15 tiles cut from one stomach biopsy slide.
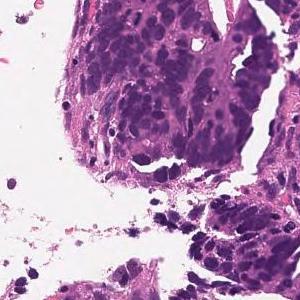
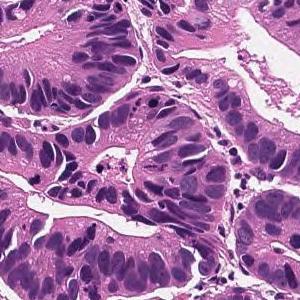
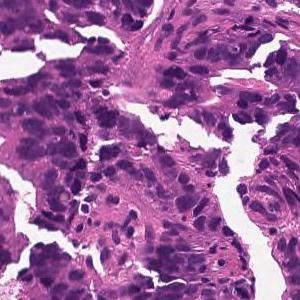
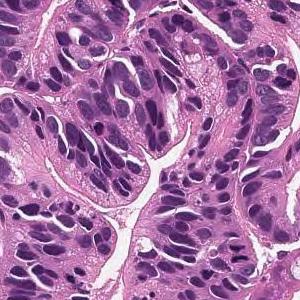
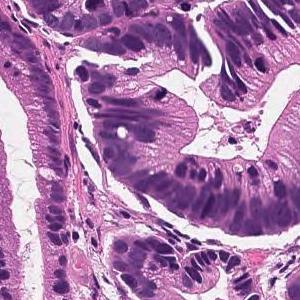
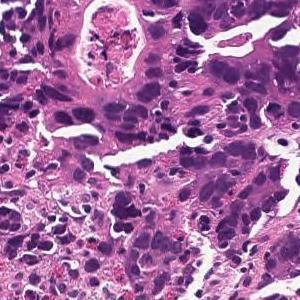
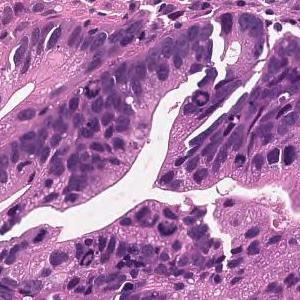
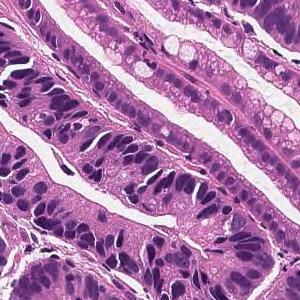
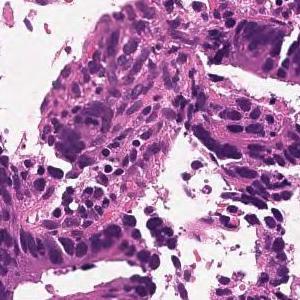
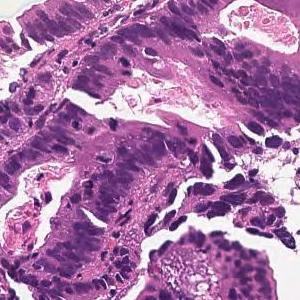
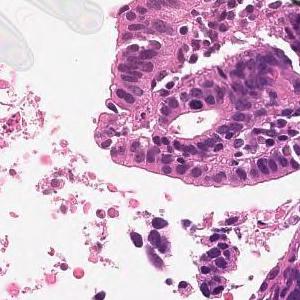
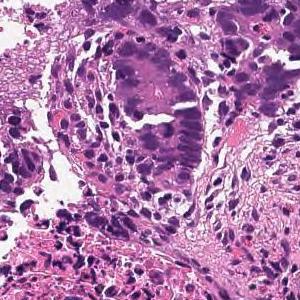
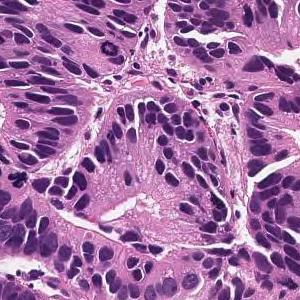
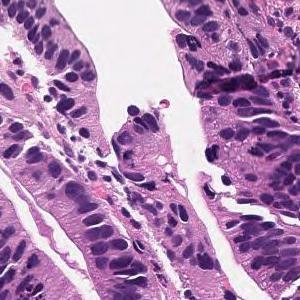
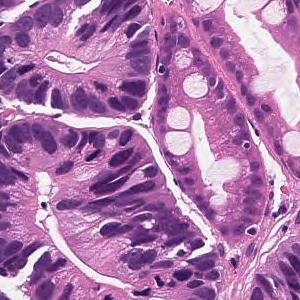
Report on the slide these tiles come from. The report and the diagnosis cover the entire slide, so not every feature they name need be visible here, and some tissue shown may not be tumor.
Tumor cells are large, highly columnar, large club-shaped nuclei, and are associated with chromatin aggregation. Papillary adenocarcinoma.
